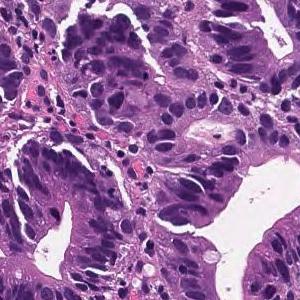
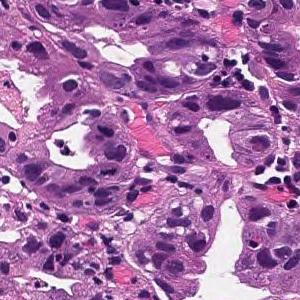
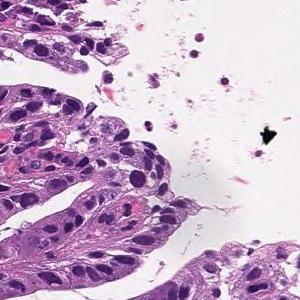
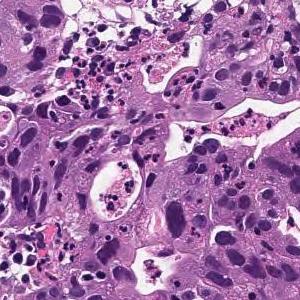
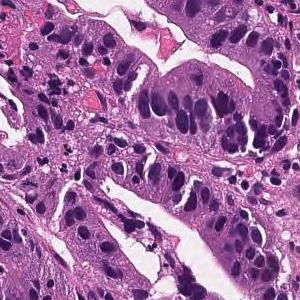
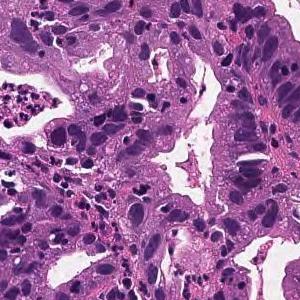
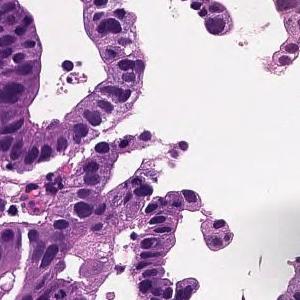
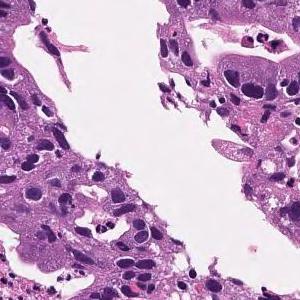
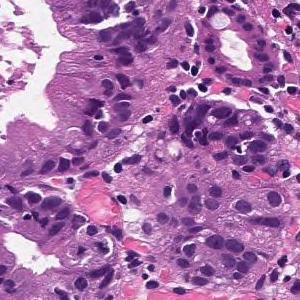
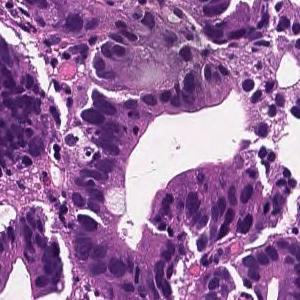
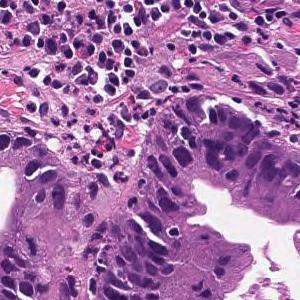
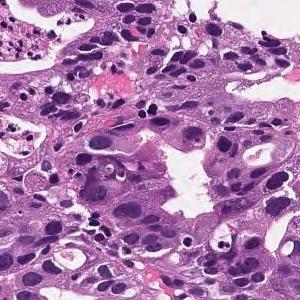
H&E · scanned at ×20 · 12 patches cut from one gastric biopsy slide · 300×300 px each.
Pathology report for the slide these tiles were cut from. The report and the diagnosis cover the entire slide, so not every feature they name need be visible here, and some tissue shown may not be tumor.
From the superficial epithelium to the muscularis mucosae, tumor tissue consisting of medium-sized and irregular glandular ducts infiltrating is observed. Well differentiated tubular adenocarcinoma
